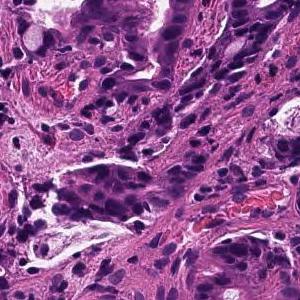
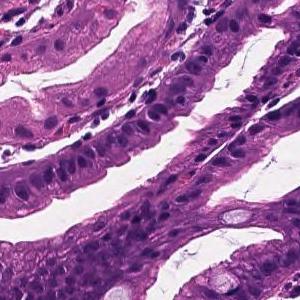
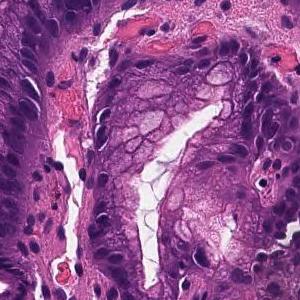
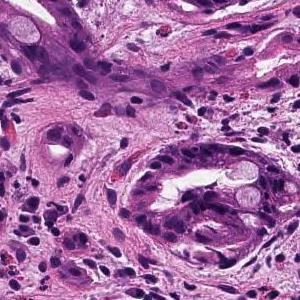
20× magnification · H&E · 4 image tiles from a single gastric biopsy slide · each 300 × 300 pixels.
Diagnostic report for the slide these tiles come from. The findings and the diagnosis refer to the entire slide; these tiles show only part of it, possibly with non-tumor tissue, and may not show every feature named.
From the superficial epithelium to the muscularis mucosae, tumor tissue consisting of medium-sized and irregular glandular ducts infiltrating is observed. Well differentiated tubular adenocarcinoma
